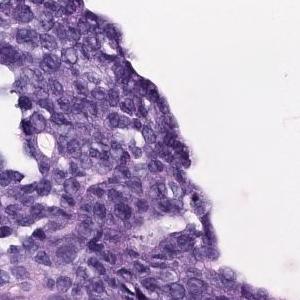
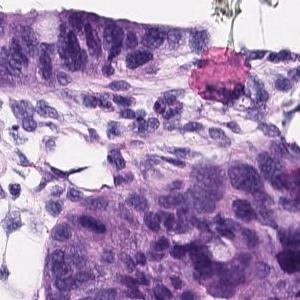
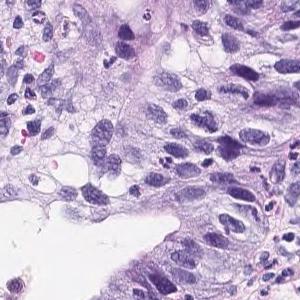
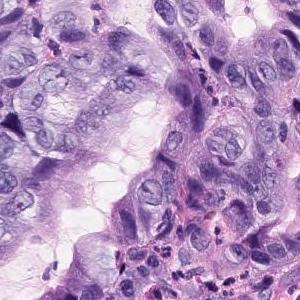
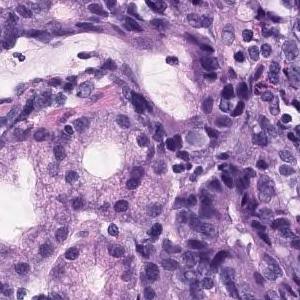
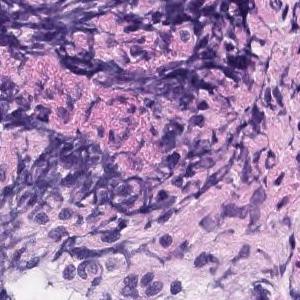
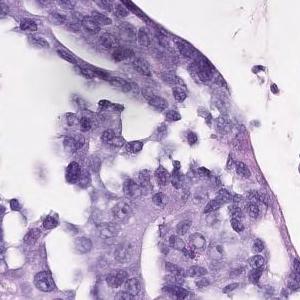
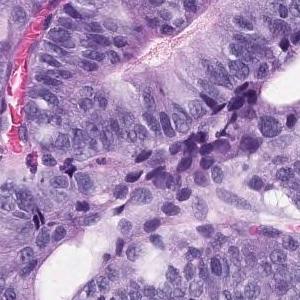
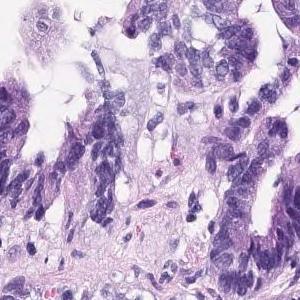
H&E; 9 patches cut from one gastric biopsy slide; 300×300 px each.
Pathology report for the biopsy slide these tiles were cut from. The report describes the whole slide, diagnosis included: not every finding it names need appear in these tiles, which may also show non-tumor tissue.
In the superficial epithelium, tumor tissue that invades by forming medium-sized to small, irregular ducts is observed. Well to moderately differentiated tubular adenocarcinoma.
